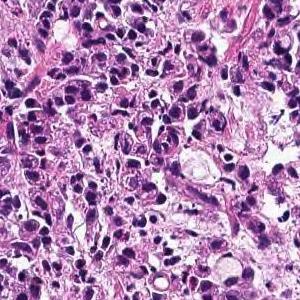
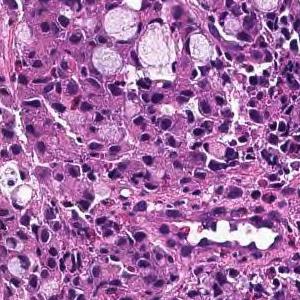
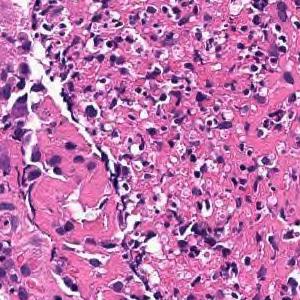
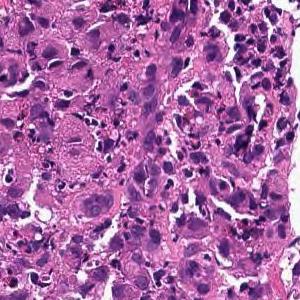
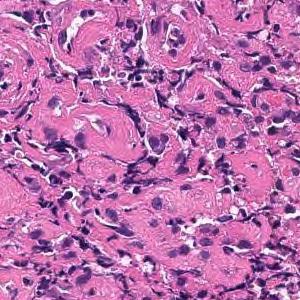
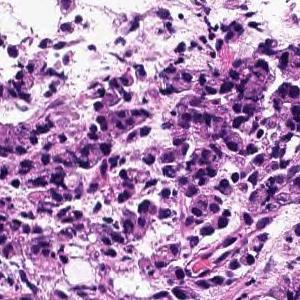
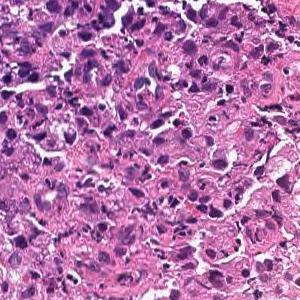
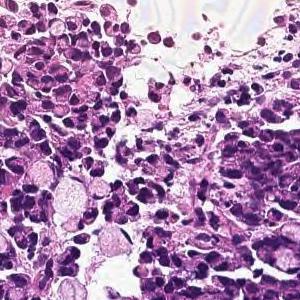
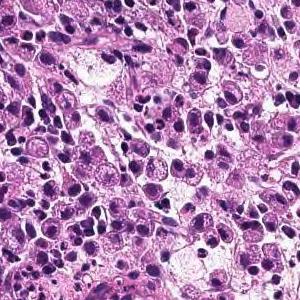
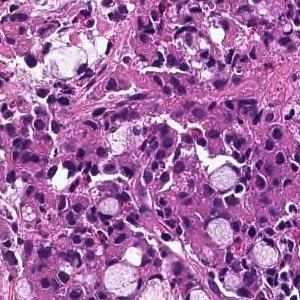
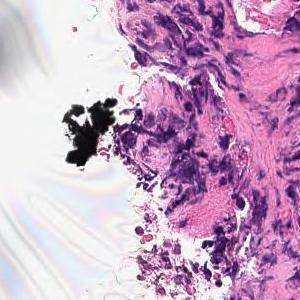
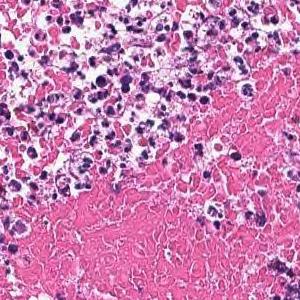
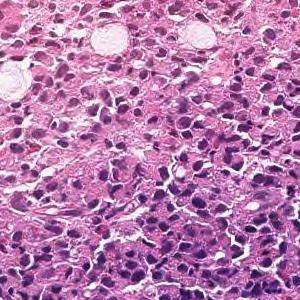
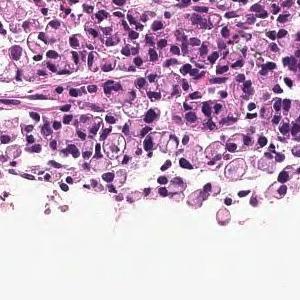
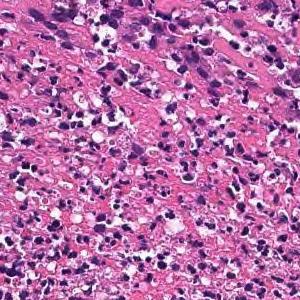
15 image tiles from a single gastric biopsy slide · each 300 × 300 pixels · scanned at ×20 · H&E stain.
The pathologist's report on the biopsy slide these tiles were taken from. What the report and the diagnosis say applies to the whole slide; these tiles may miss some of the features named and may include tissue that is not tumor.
Tumor tissue consisting of diffusely infiltrated large atypical epithelial cells or signet ring atypical cells is observed in the superficial epithelium. Poorly differentiated adenocarcinoma, solid-type
Histologic type: Poorly differentiated adenocarcinoma, solid type. This name comes from the Japanese Classification of Gastric Carcinoma; the WHO 2019 classification calls it tubular adenocarcinoma, poorly differentiated.
